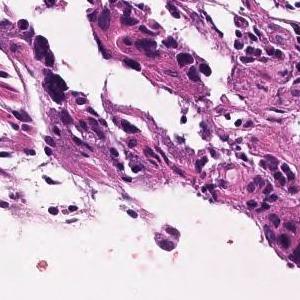
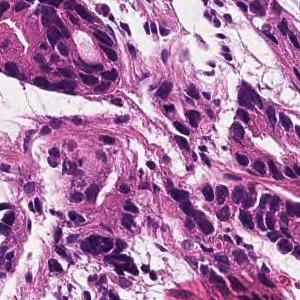
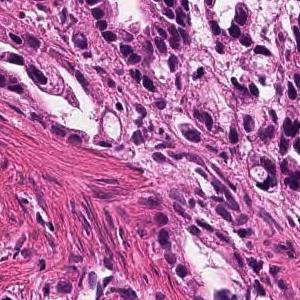
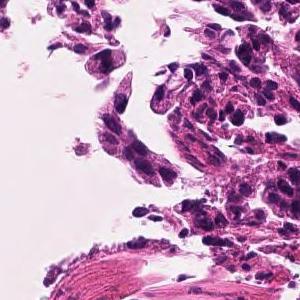
4 image tiles from a single gastric biopsy slide; H&E stain; 20× magnification.
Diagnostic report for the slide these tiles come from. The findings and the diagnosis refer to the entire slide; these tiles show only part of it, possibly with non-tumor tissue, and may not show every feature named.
In the superficial epithelium, tumor tissue that invades by forming medium-sized to small, irregular ducts is observed. moderately differentiated tubular adenocarcinoma.
